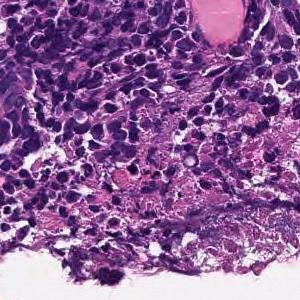
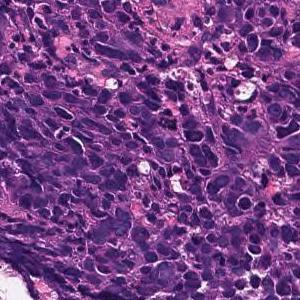
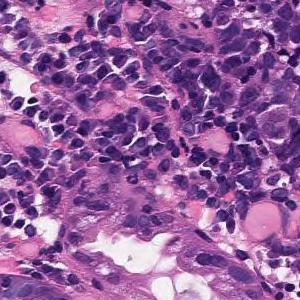
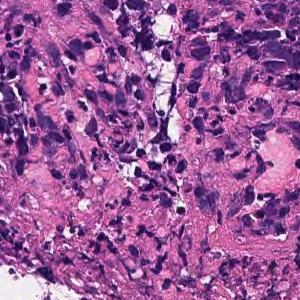
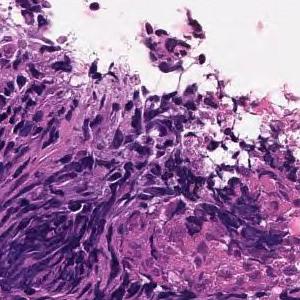
Scanned at ×20; H&E stain; 5 tiles cut from one stomach biopsy slide.
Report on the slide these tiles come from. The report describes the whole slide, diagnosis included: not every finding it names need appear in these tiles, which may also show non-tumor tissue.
Large sheet-like or diffusely infiltrating tumor tissue is found in the superficial epithelium. Poorly differentiated adenocarcinoma, solid-type
Tumor subtype: poorly differentiated adenocarcinoma, solid type. This name comes from the Japanese Classification of Gastric Carcinoma; the WHO 2019 classification calls it tubular adenocarcinoma, poorly differentiated.
